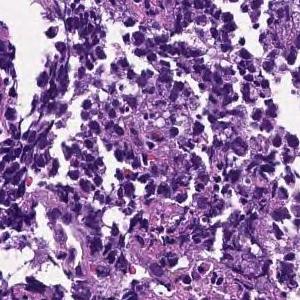
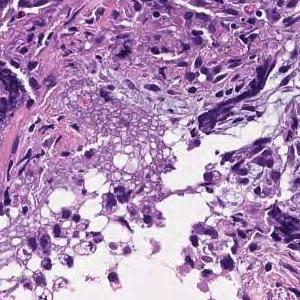
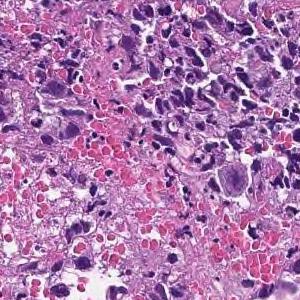
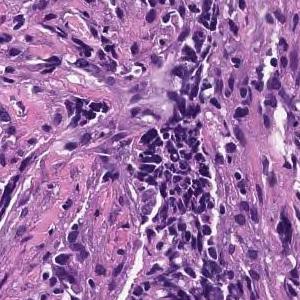
4 tiles from the same stomach biopsy slide · 300×300 px each · hematoxylin and eosin stain.
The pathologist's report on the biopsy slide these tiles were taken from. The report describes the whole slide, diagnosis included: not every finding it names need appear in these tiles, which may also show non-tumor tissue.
Most are composed of coagulative necrotic tissue, but some show a large sheet-like shape, and some show tumor tissue infiltrating with a small cord-like structure. Poorly differentiated adenocarcinoma, solid-type
Histological subtype: Poorly differentiated adenocarcinoma, solid type. This name comes from the Japanese Classification of Gastric Carcinoma; the WHO 2019 classification calls it tubular adenocarcinoma, poorly differentiated.
